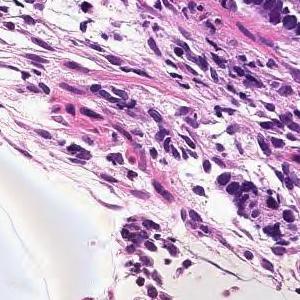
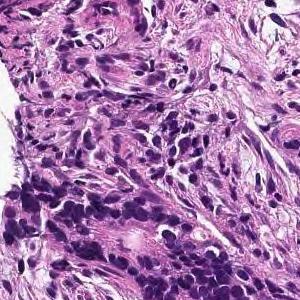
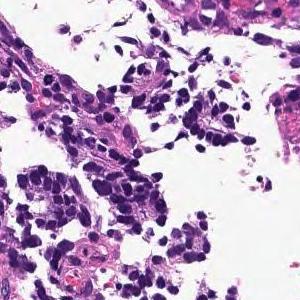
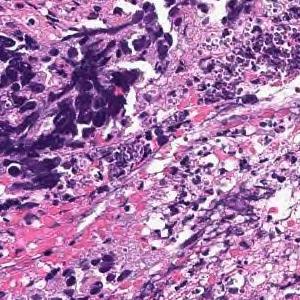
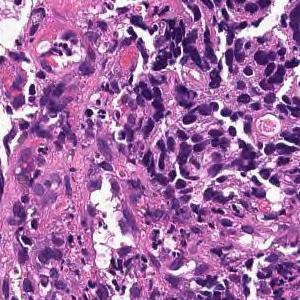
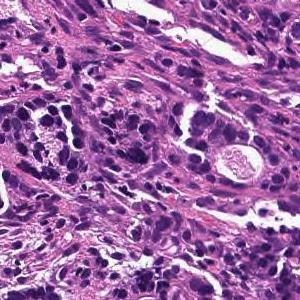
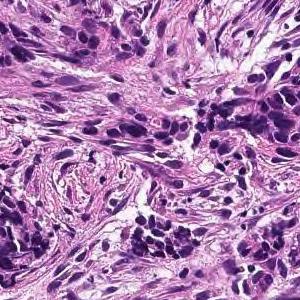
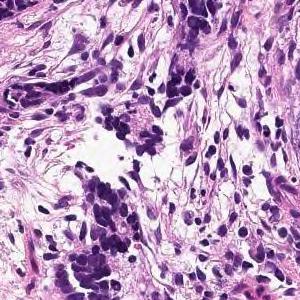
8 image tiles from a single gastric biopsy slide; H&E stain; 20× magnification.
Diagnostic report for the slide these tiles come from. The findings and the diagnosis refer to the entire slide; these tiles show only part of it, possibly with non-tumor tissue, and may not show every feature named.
Tumor tissue consisting of medium-sized, cord-like or irregular glandular infiltration is observed in the superficial epithelium. Poorly differentiated adenocarcinoma, non-solid type or moderately differentiated tubular adenocarcinoma
Histologic type: Moderately to poorly differentiated adenocarcinoma.
The term "non-solid type" comes from the Japanese Classification of Gastric Carcinoma.
